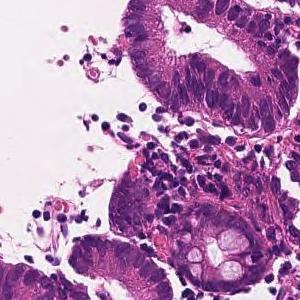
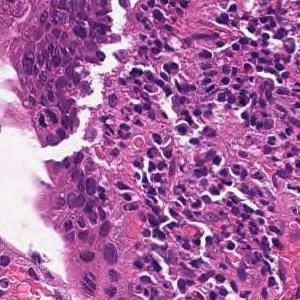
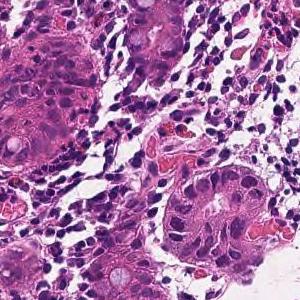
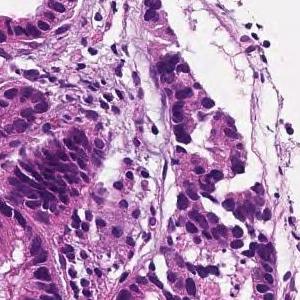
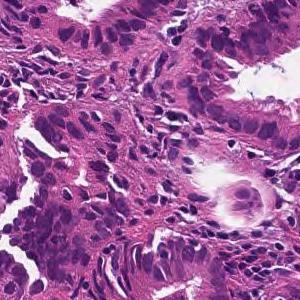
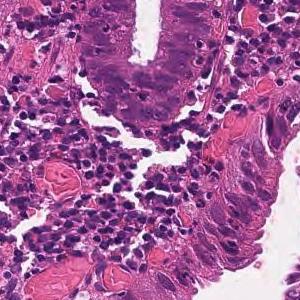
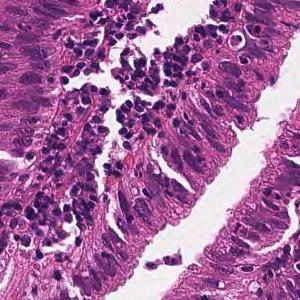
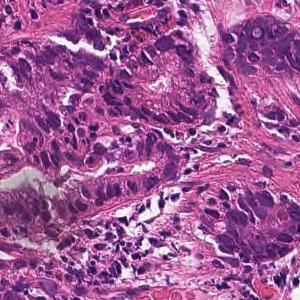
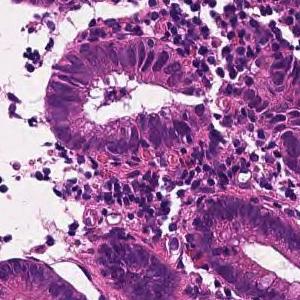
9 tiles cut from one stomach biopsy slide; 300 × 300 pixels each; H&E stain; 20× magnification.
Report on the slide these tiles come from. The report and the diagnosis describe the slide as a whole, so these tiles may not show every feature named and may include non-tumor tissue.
From the superficial epithelium to the muscularis mucosae, tumor tissue infiltrating by forming medium-sized irregular gland ducts is observed. Large tumor cells exhibit large nucleus and hyperchromatism. Well differentiated tubular adenocarcinoma
